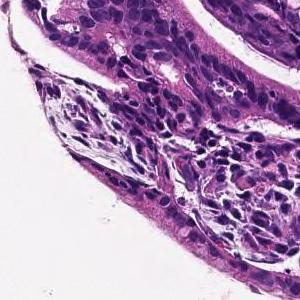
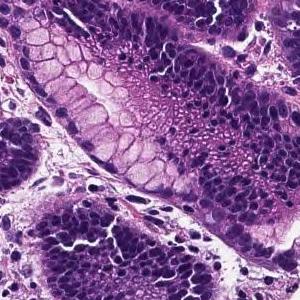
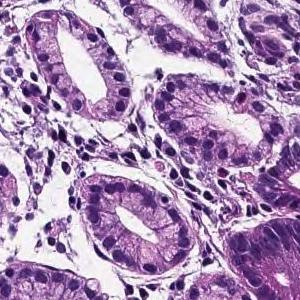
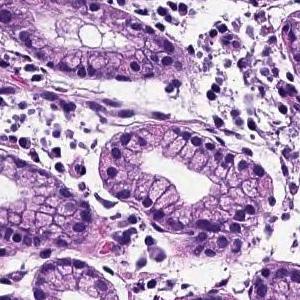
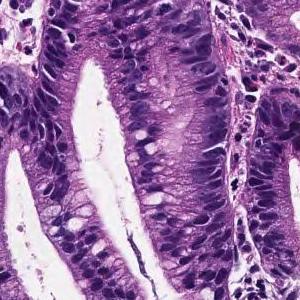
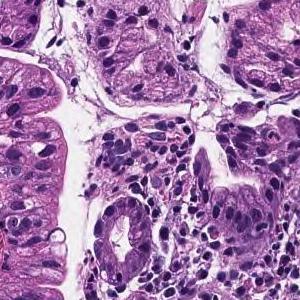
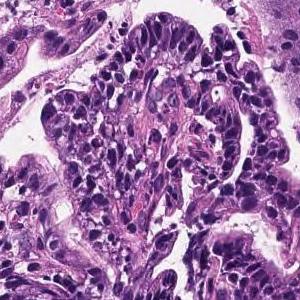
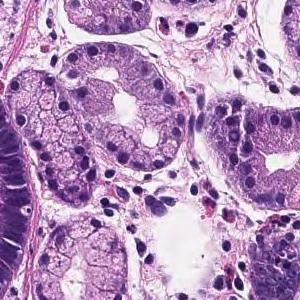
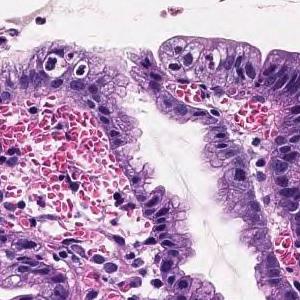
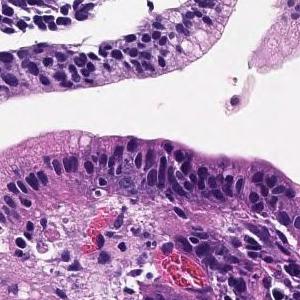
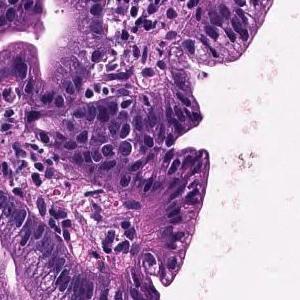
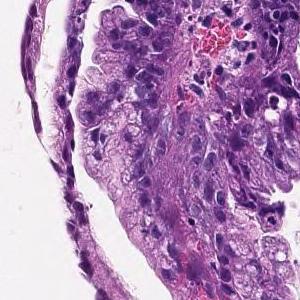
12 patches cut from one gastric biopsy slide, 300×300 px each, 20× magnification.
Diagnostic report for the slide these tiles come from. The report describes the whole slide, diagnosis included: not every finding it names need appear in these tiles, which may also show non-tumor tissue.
From the superficial epithelium to the muscularis mucosae, tumor tissue consisting of medium-sized and irregular glandular ducts infiltrating is observed. Well differentiated tubular adenocarcinoma
